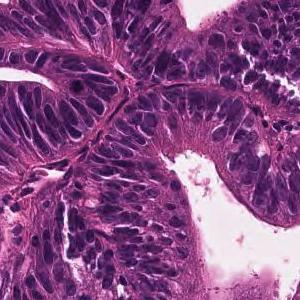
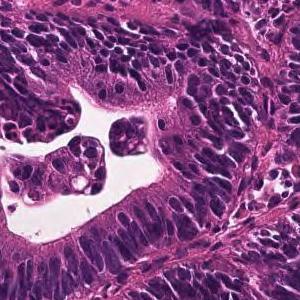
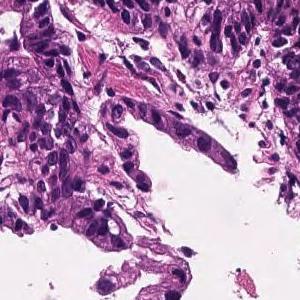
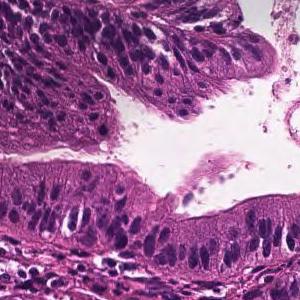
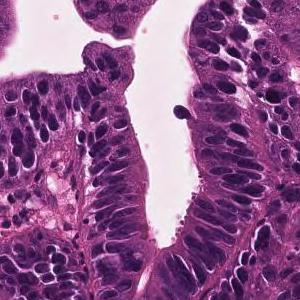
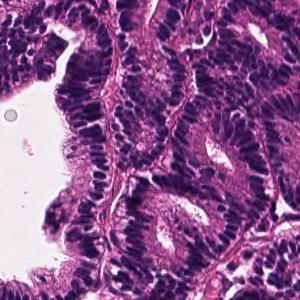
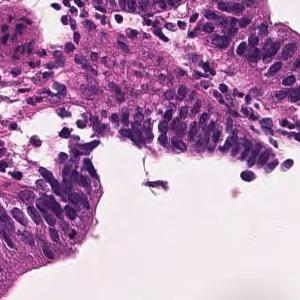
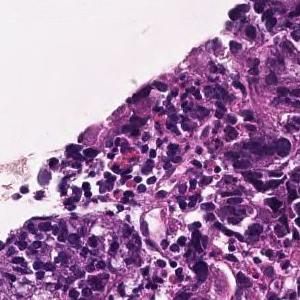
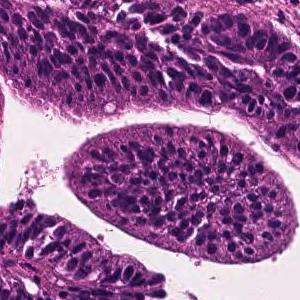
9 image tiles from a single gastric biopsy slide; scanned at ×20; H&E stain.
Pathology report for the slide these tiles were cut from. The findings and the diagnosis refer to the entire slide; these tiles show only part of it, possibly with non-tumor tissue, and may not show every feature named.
A large irregular tubular structure is exhibited in the epithelium, and tumor tissue that partially fuses and infiltrates and proliferates is observed. Large columnar tumor cells exhibit enlarged nucleus, hyperchromatism, and mitotic figures. Well differentiated tubular adenocarcinoma
